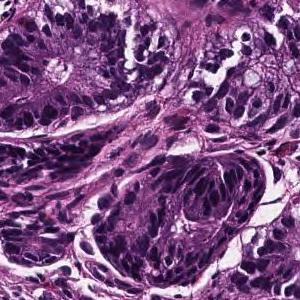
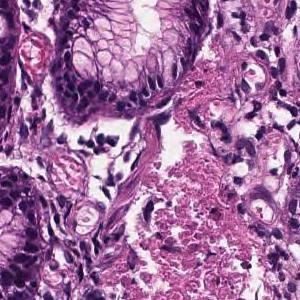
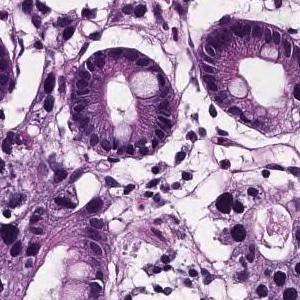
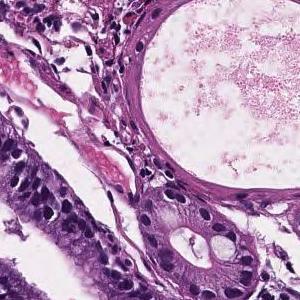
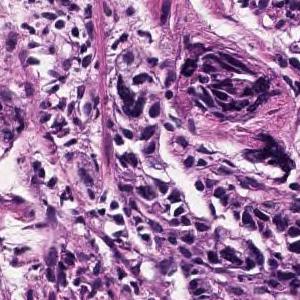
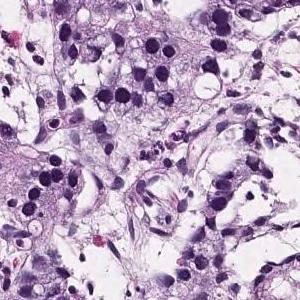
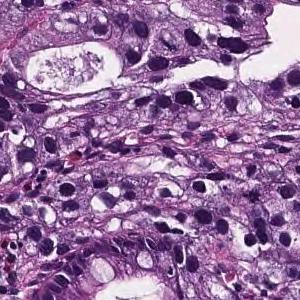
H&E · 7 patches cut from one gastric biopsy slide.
Report on the slide these tiles come from. The findings and the diagnosis refer to the entire slide; these tiles show only part of it, possibly with non-tumor tissue, and may not show every feature named.
In the superficial epithelium, medium to small irregular gland ducts are formed, and in some cases, the ducts are fused to show solid alveolar lesions and infiltrating tumor tissue is observed. Moderately to poorly differentiated adenocarcinoma
